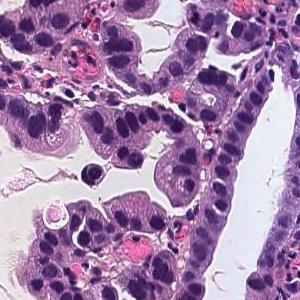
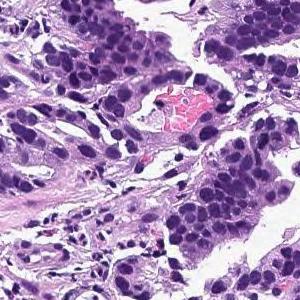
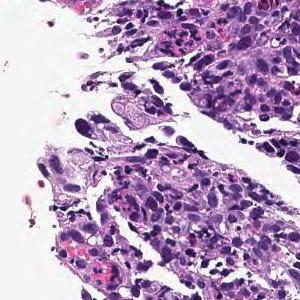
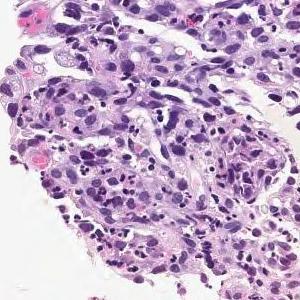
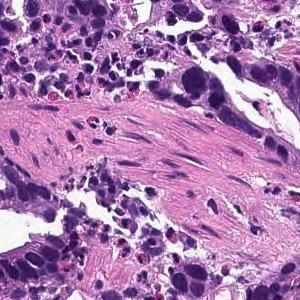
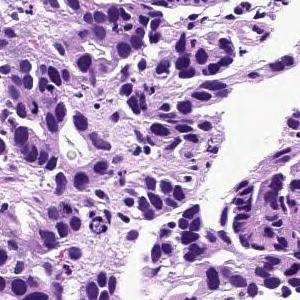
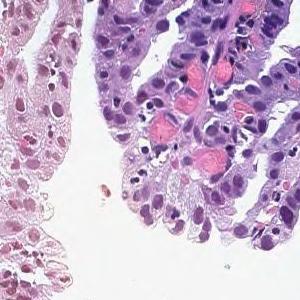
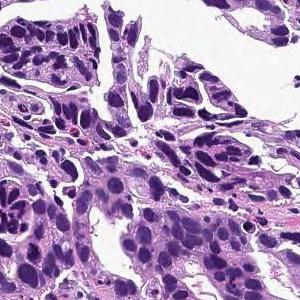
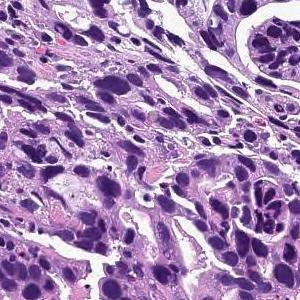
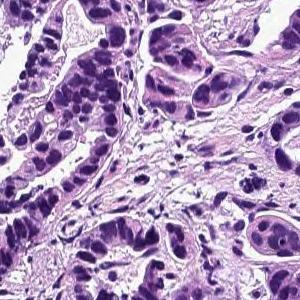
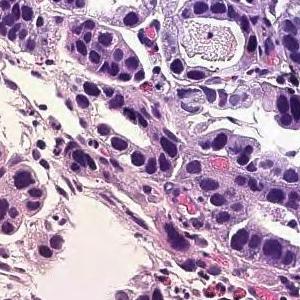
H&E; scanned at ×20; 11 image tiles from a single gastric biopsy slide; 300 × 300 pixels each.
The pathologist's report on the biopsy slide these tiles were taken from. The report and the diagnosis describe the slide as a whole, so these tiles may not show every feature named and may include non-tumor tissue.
On the superficial epithelium, tumor tissue consisting of large irregular glandular ducts partially fused and infiltrated is observed. Well to moderately differentiated tubular adenocarcinoma (well differentiated tubular adenocarcinoma, moderately differentiated tubular adenocarcinoma)
Histological subtype: Well to moderately differentiated tubular adenocarcinoma.
